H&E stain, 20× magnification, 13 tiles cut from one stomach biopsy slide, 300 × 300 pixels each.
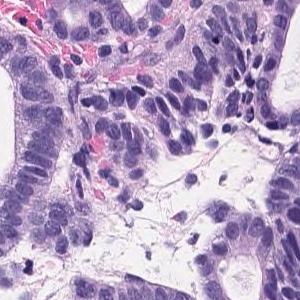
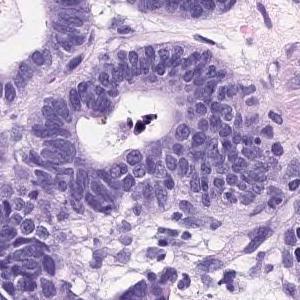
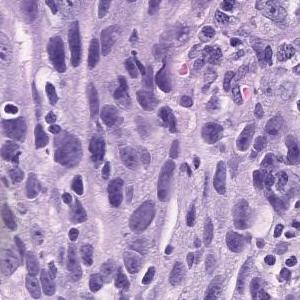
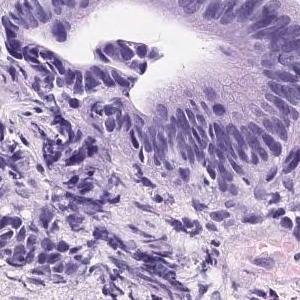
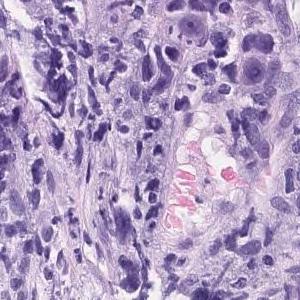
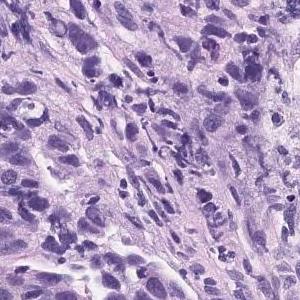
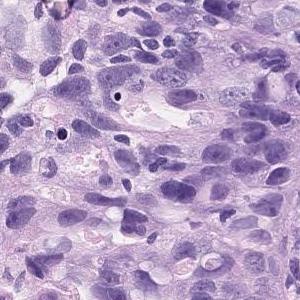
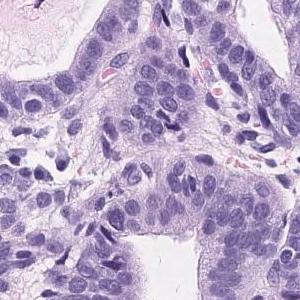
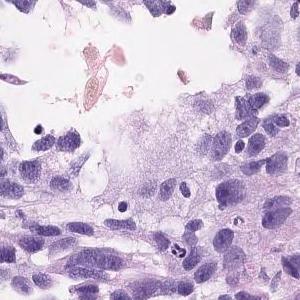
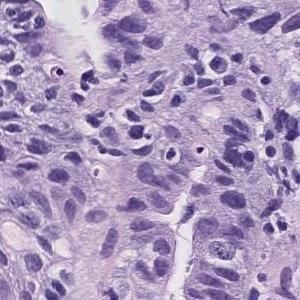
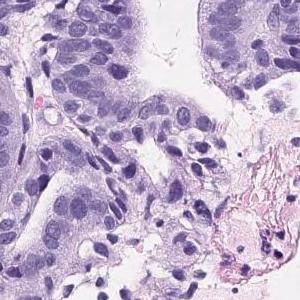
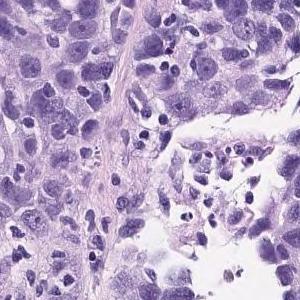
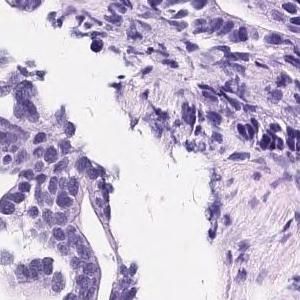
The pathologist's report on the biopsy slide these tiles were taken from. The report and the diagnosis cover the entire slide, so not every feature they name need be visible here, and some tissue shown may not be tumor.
The superficial epithelium shows a large sheet-like shape, and some tumor tissue infiltrates with small irregular ducts. Poorly differentiated adenocarcinoma, solid-type
Histologic type: Poorly differentiated adenocarcinoma, solid type. This name comes from the Japanese Classification of Gastric Carcinoma; the WHO 2019 classification calls it tubular adenocarcinoma, poorly differentiated.
